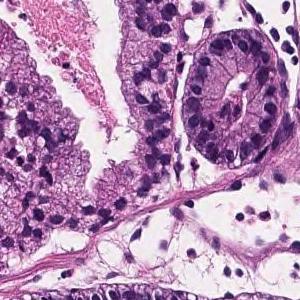
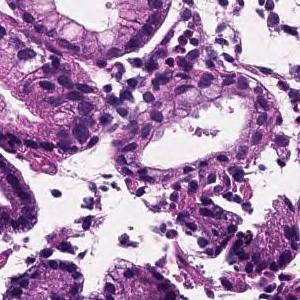
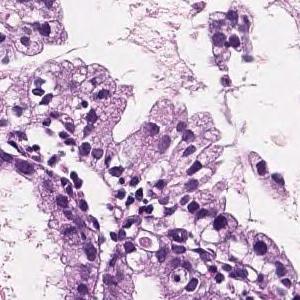
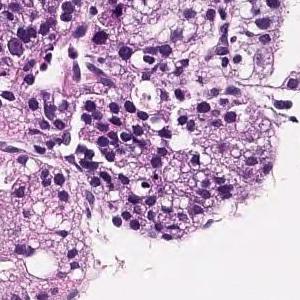
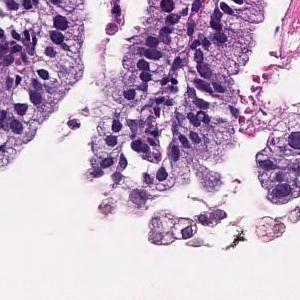
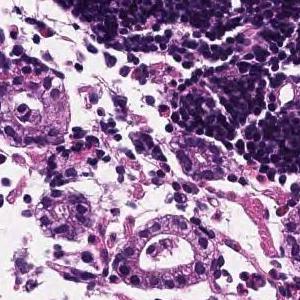
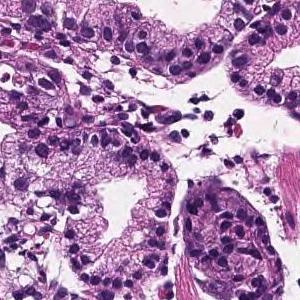
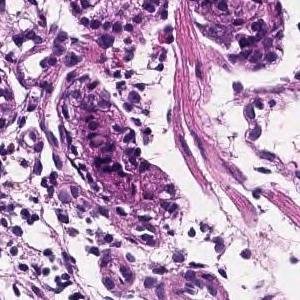
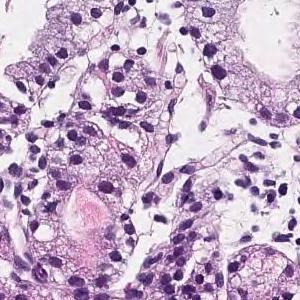
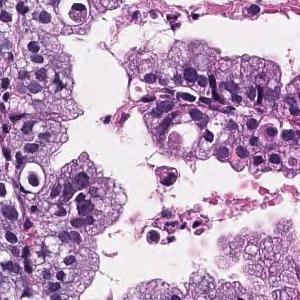
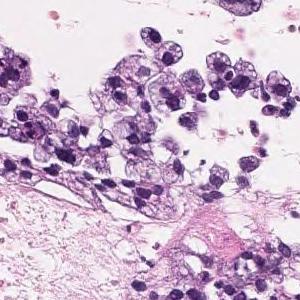
11 image tiles from a single gastric biopsy slide, scanned at ×20.
Report on the slide these tiles come from. The report and the diagnosis cover the entire slide, so not every feature they name need be visible here, and some tissue shown may not be tumor.
In the superficial epithelium, tumor tissue that infiltrates by forming medium-sized papillary or small irregular ducts is observed. Papillary adenocarcinoma
